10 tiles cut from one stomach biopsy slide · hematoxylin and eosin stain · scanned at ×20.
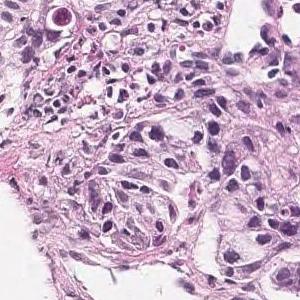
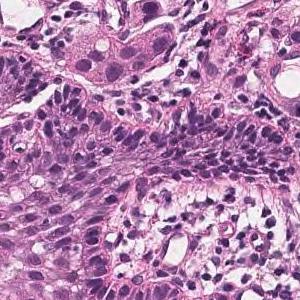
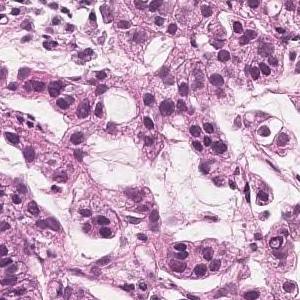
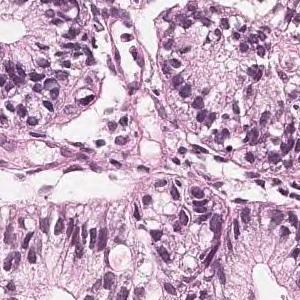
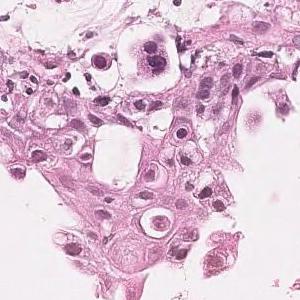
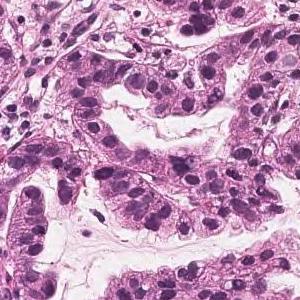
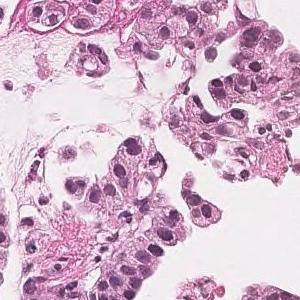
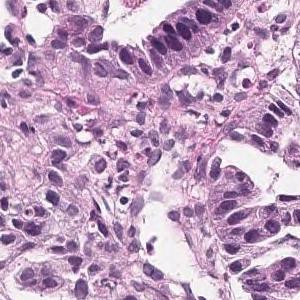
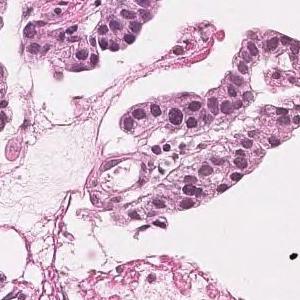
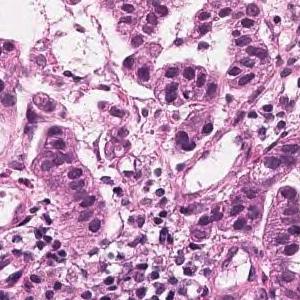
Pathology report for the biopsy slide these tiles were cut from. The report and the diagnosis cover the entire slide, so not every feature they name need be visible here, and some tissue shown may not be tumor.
Tumor cells are large, highly columnar, large club-shaped nuclei, and are associated with chromatin aggregation. Papillary adenocarcinoma.
